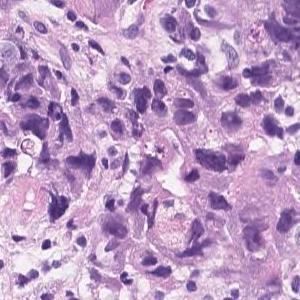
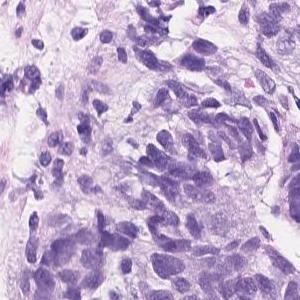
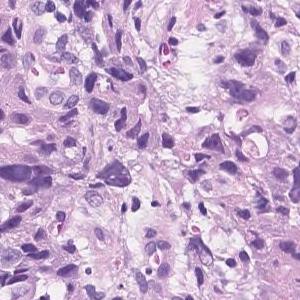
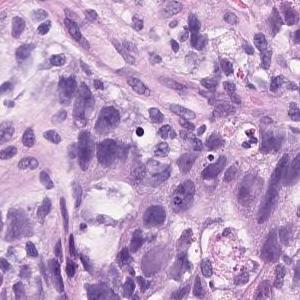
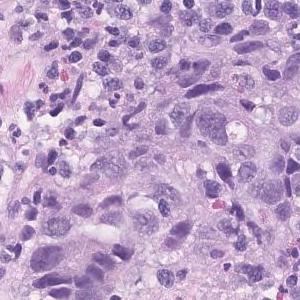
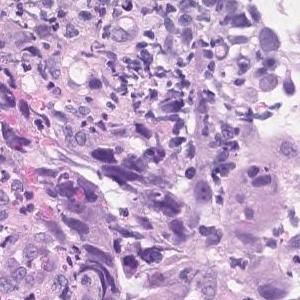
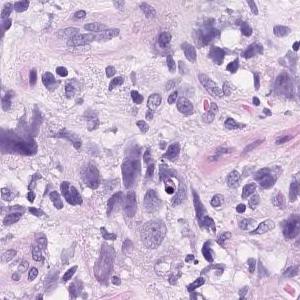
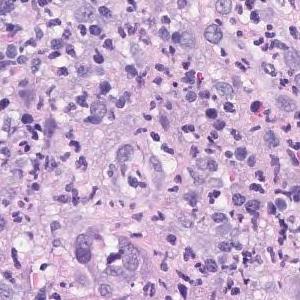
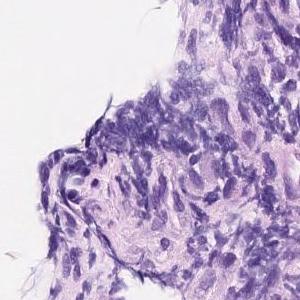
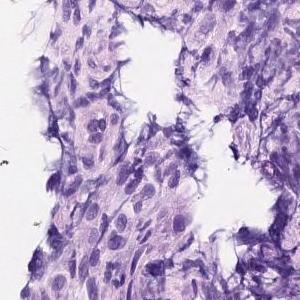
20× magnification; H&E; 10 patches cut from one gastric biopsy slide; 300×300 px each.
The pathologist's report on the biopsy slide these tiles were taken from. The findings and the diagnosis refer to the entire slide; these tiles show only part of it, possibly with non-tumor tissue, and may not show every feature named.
Atypical epithelial cells infiltrating and proliferating diffusely or while forming vesicles is observed. Poorly differentiated adenocarcinoma (poorly differentiated adenocarcinoma, solid type moderately differentiated tubular adenocarcinoma)
Labeled in the dataset as poorly differentiated adenocarcinoma, solid type. This name comes from the Japanese Classification of Gastric Carcinoma; the WHO 2019 classification calls it tubular adenocarcinoma, poorly differentiated.
